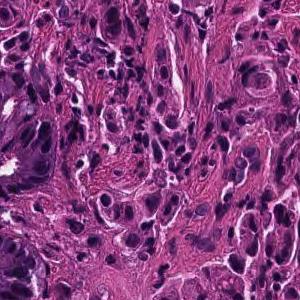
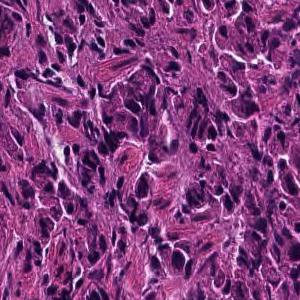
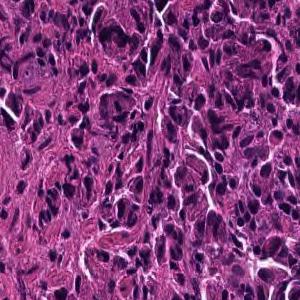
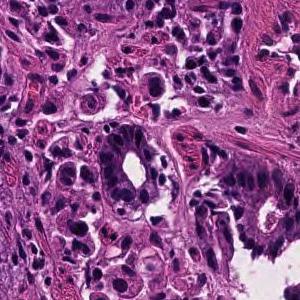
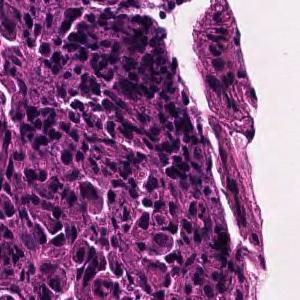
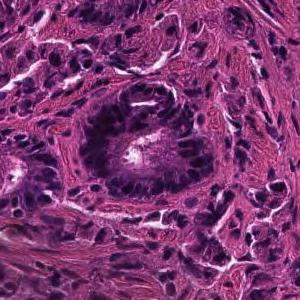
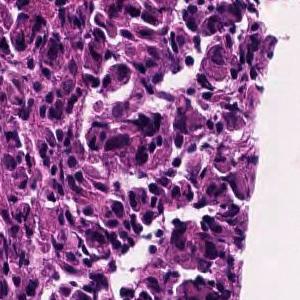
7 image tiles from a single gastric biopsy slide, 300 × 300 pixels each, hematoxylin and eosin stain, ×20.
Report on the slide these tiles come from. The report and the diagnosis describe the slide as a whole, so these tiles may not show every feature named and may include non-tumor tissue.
Tumor tissue consisting of cord-like or small, irregular glandular ducts fused and infiltrated is observed in the superficial epithelium. Poorly differentiated adenocarcinoma, non-solid type
The term "non-solid type" comes from the Japanese Classification of Gastric Carcinoma.
